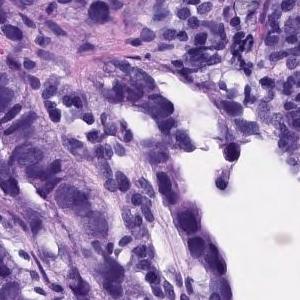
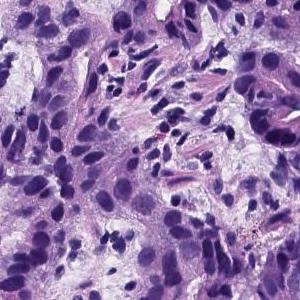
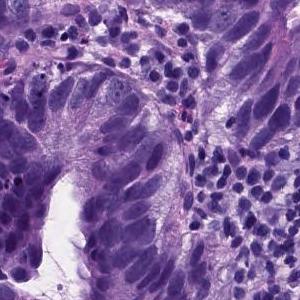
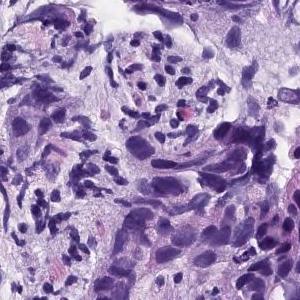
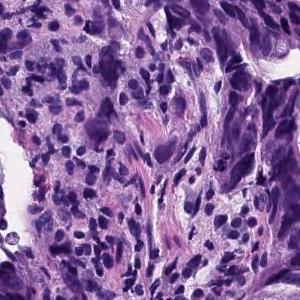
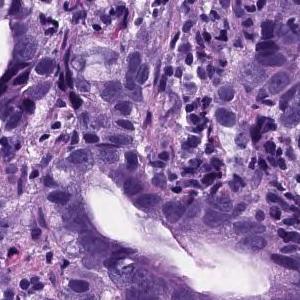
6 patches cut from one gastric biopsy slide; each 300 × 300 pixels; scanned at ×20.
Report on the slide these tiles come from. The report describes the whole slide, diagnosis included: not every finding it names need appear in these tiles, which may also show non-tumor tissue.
In the superficial epithelium, tumor tissue that invades by forming medium-sized to small, irregular ducts is observed. Moderately differentiated adenocarcinoma.
Subtype: Moderately differentiated tubular adenocarcinoma.
